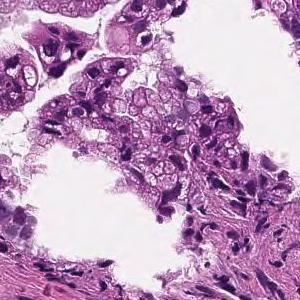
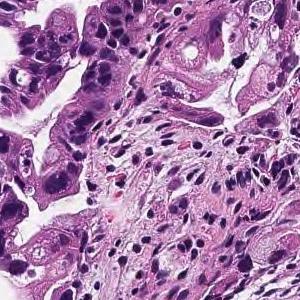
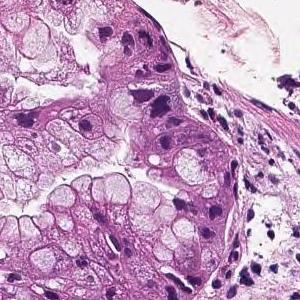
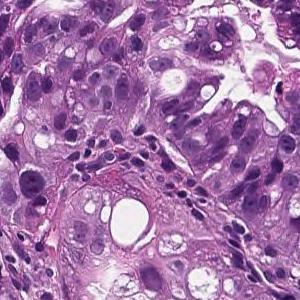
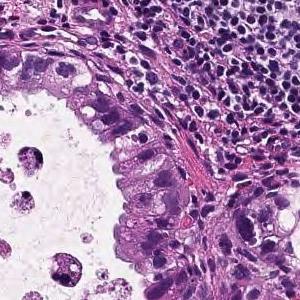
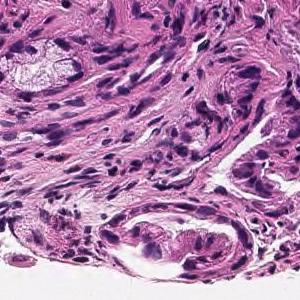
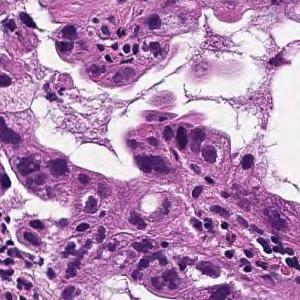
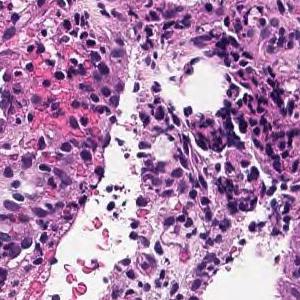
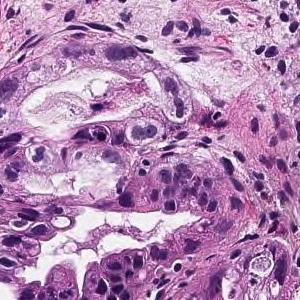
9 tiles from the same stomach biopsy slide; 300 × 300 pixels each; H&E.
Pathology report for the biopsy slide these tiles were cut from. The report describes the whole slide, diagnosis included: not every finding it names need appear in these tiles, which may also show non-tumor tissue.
From the superficial epithelium to the muscularis mucosae, tumor tissue consisting of medium-sized and irregular glandular ducts infiltrating is observed. Well differentiated tubular adenocarcinoma
